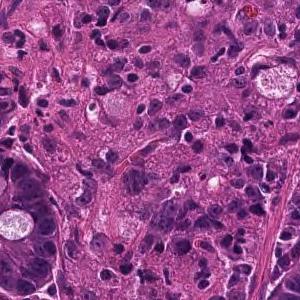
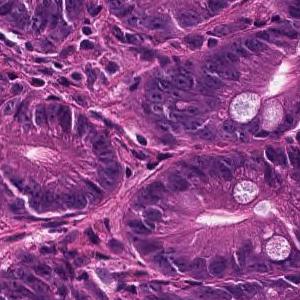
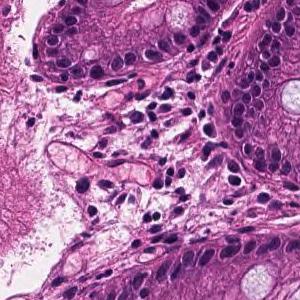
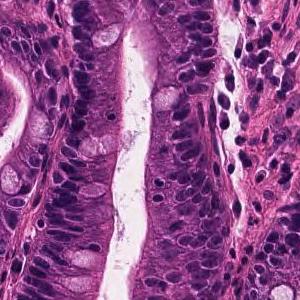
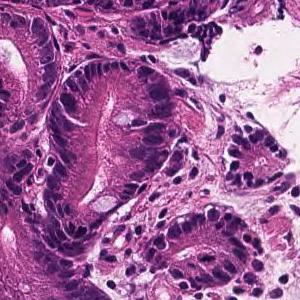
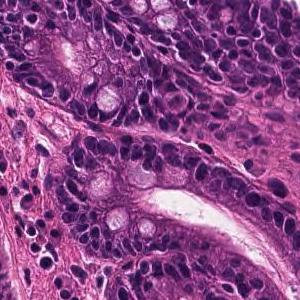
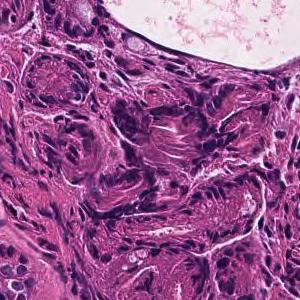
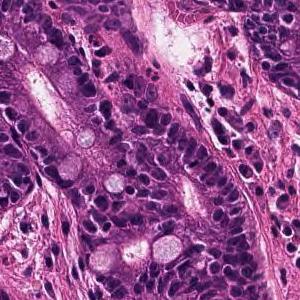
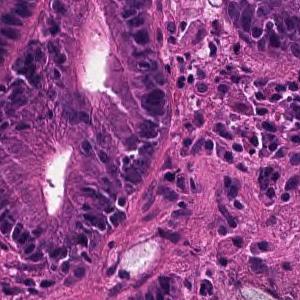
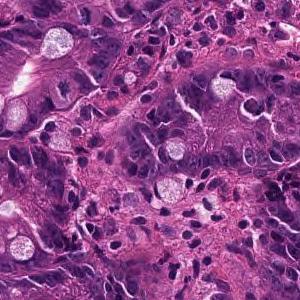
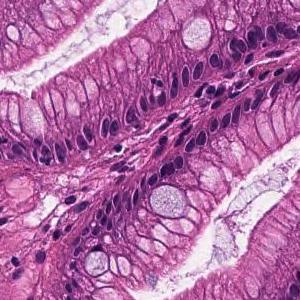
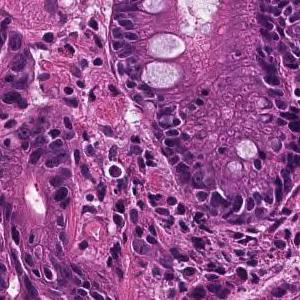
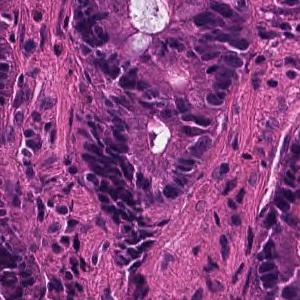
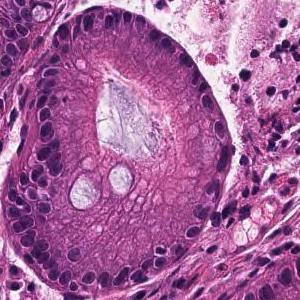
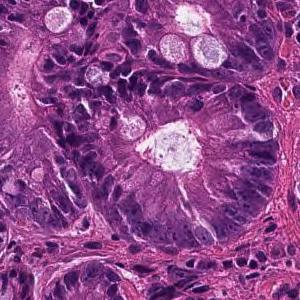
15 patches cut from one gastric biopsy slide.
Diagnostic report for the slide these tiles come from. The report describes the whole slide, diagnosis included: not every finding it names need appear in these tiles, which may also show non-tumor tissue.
Medium to small, irregular glandular ducts are formed in the superficial epithelium, and in some cases, the glandular ducts are fused to show solid alveolar lesions and infiltrating tumor tissue is observed. Moderately to poorly differentiated adenocarcinoma.
